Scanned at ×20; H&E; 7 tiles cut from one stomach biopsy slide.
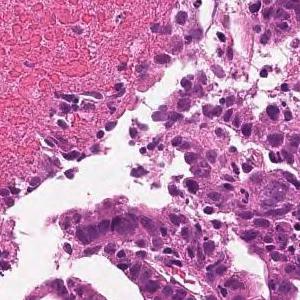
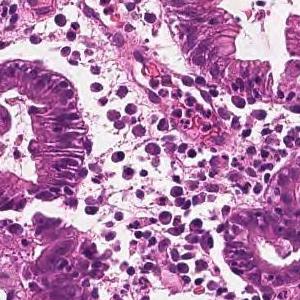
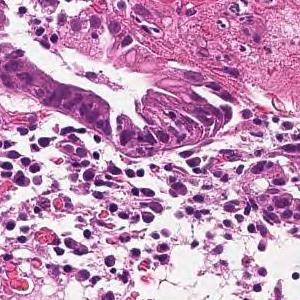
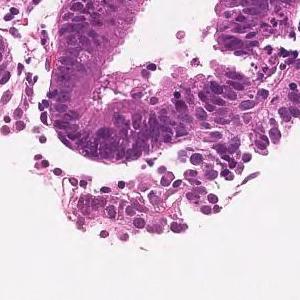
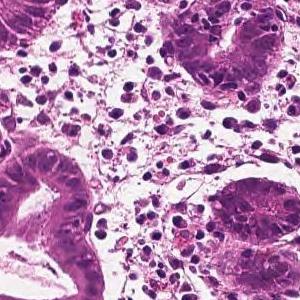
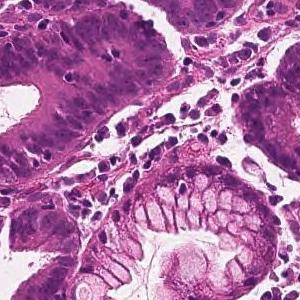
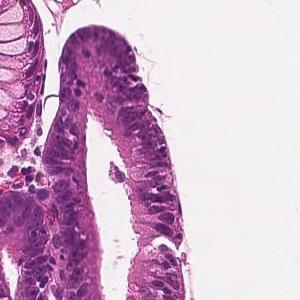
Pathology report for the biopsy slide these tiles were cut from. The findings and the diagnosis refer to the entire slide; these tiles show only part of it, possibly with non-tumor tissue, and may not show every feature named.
On the superficial epithelium, tumor tissue is found in which medium-sized irregular gland ducts fuse with each other and infiltrate. moderately differentiated tubular adenocarcinoma
